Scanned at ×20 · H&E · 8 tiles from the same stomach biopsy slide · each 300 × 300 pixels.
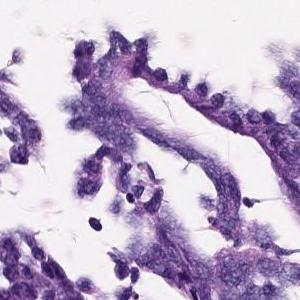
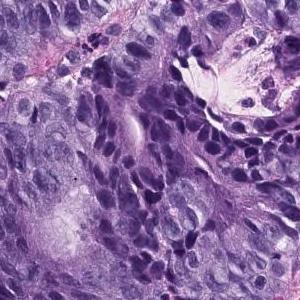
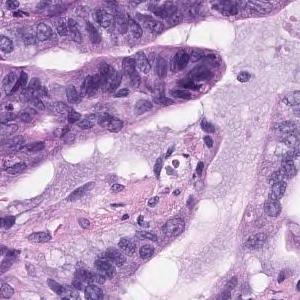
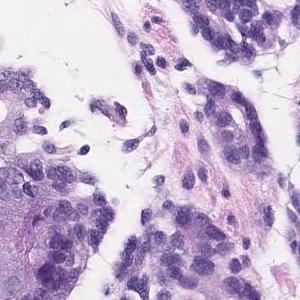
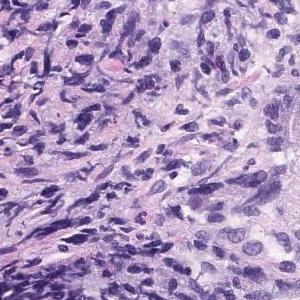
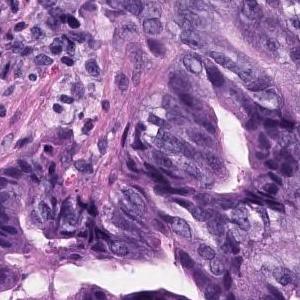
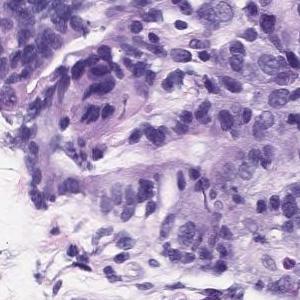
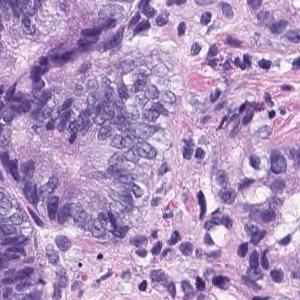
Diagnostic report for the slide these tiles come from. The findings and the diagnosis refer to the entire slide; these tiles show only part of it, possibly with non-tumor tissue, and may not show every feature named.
In the superficial epithelium, tumor tissue that invades by forming medium-sized to small, irregular ducts is observed. Well to moderately differentiated tubular adenocarcinoma.
